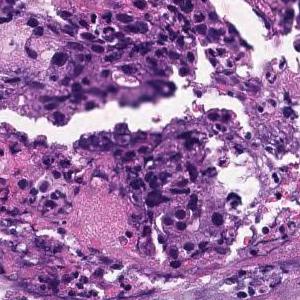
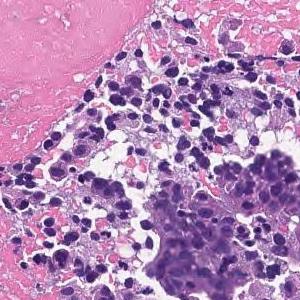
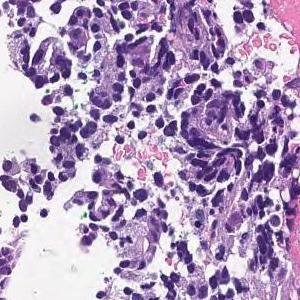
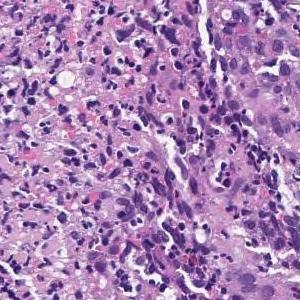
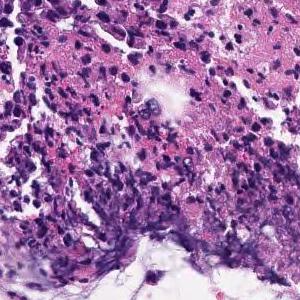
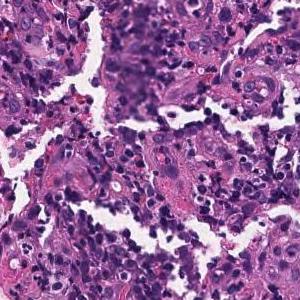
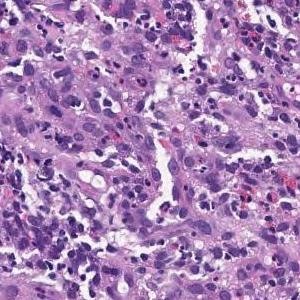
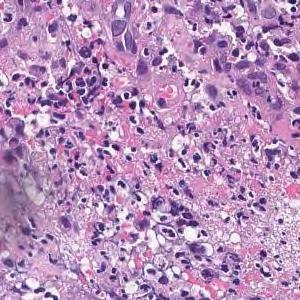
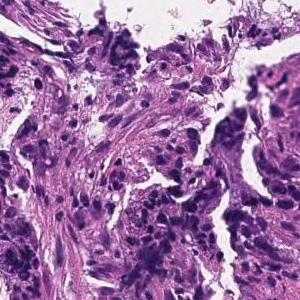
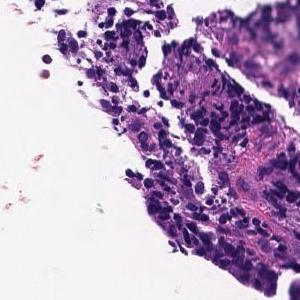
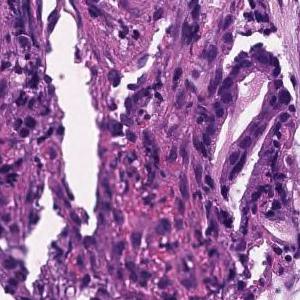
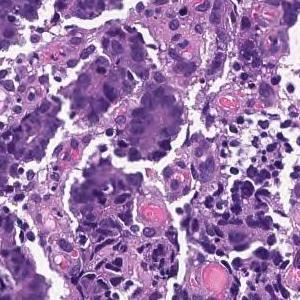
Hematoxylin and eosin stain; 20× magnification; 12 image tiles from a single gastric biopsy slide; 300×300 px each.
The pathologist's report on the biopsy slide these tiles were taken from. What the report and the diagnosis say applies to the whole slide; these tiles may miss some of the features named and may include tissue that is not tumor.
On the superficial epithelium, tumor tissue consisting of large irregular glandular ducts partially fused and infiltrated is observed. Well to moderately differentiated tubular adenocarcinoma (well differentiated tubular adenocarcinoma, moderately differentiated tubular adenocarcinoma)
Histological subtype: Well to moderately differentiated tubular adenocarcinoma.
